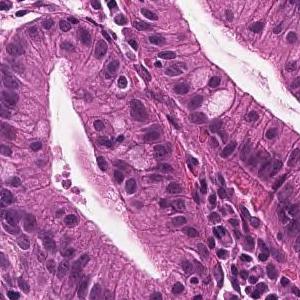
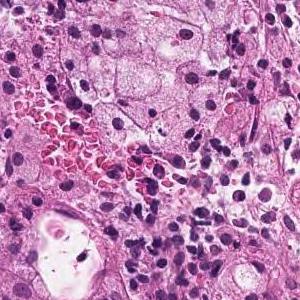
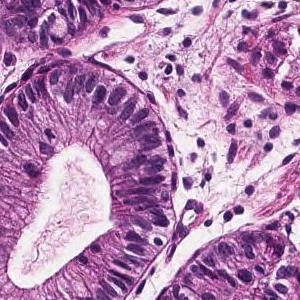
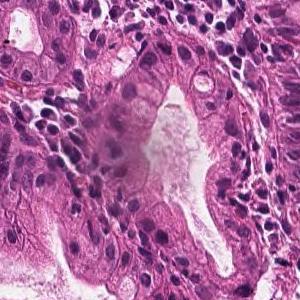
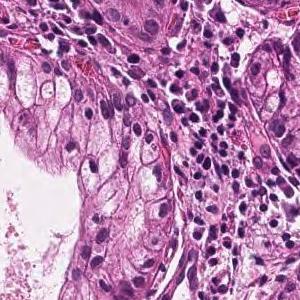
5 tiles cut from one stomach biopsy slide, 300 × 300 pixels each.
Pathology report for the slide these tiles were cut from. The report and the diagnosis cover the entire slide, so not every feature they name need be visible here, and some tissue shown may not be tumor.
In the superficial epithelium, tumor tissue that invades by forming medium-sized to small, irregular ducts is observed. Well differentiated tubular adenocarcinoma.
